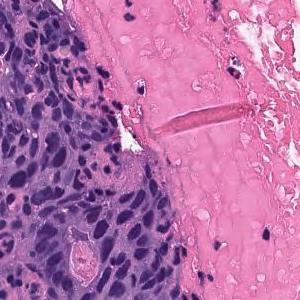
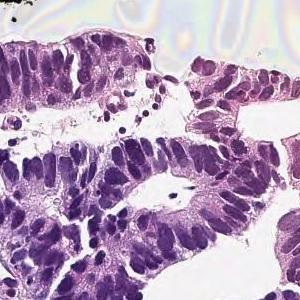
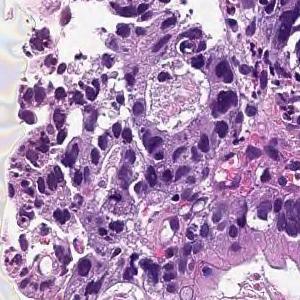
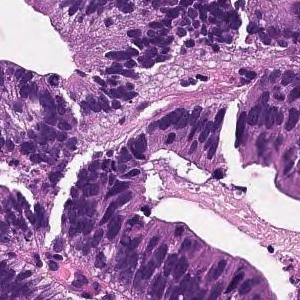
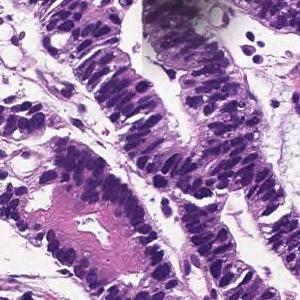
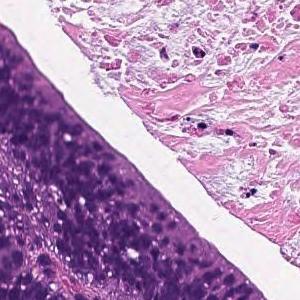
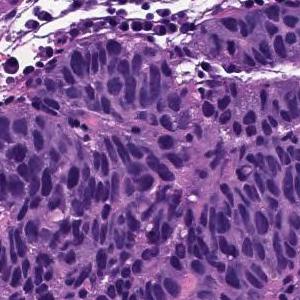
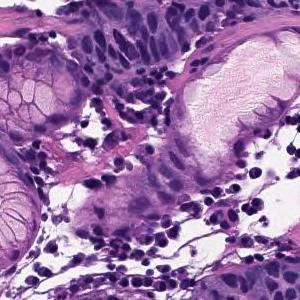
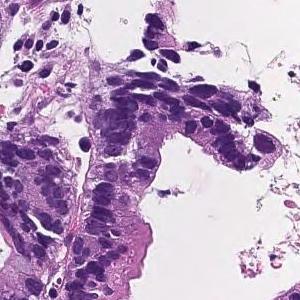
Hematoxylin and eosin stain; 20× magnification; 9 tiles from the same stomach biopsy slide.
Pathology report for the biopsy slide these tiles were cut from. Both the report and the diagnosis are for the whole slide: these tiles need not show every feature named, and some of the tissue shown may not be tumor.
In the superficial epithelium, tumor tissue that invades by forming medium-sized to small, irregular ducts is observed. moderately differentiated tubular adenocarcinoma.
